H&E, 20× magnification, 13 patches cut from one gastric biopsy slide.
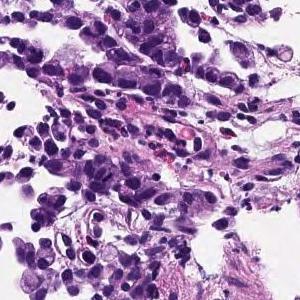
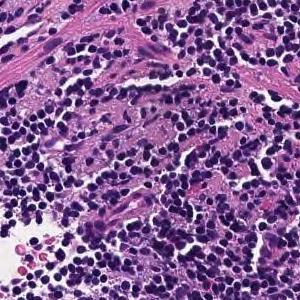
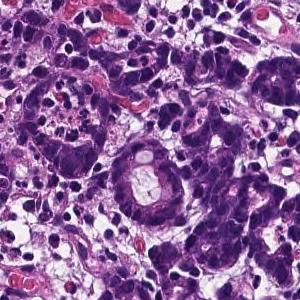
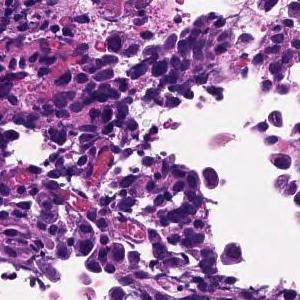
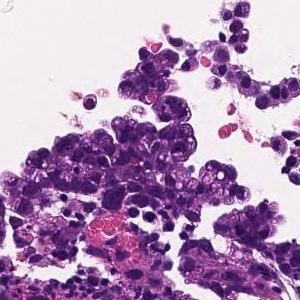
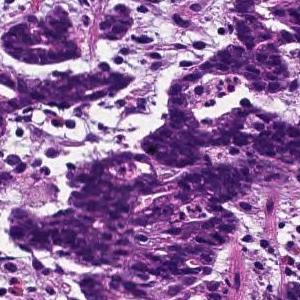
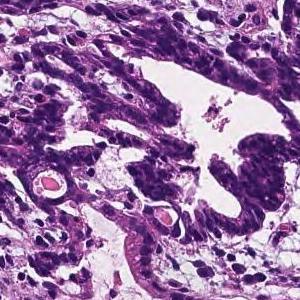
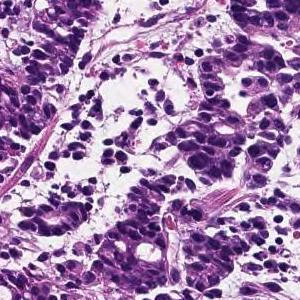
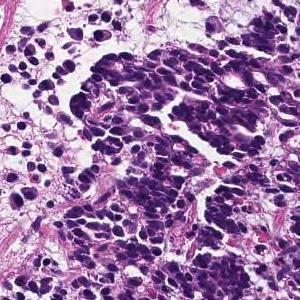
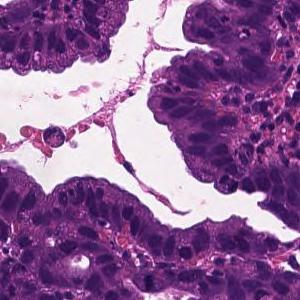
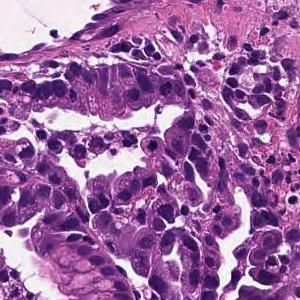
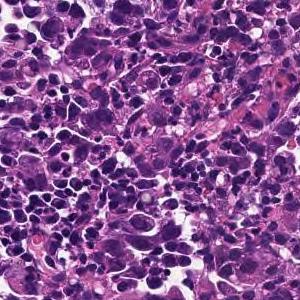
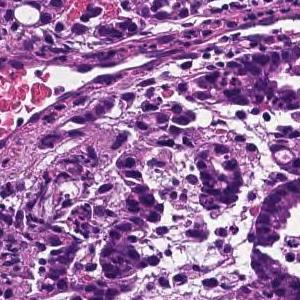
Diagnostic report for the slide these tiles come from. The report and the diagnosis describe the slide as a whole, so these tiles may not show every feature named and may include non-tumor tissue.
In the superficial epithelium, tumor tissue that invades by forming medium-sized to small, irregular ducts is observed. moderately differentiated tubular adenocarcinoma.
